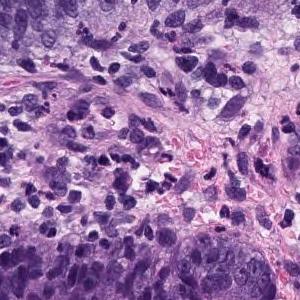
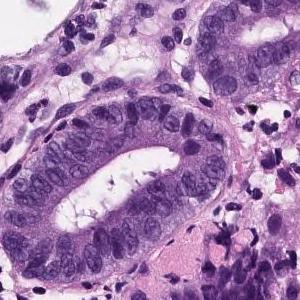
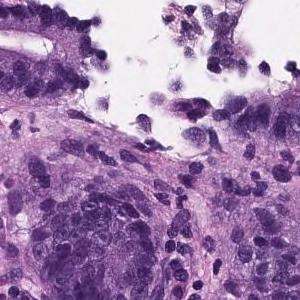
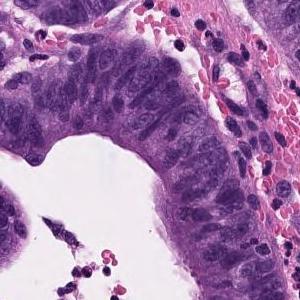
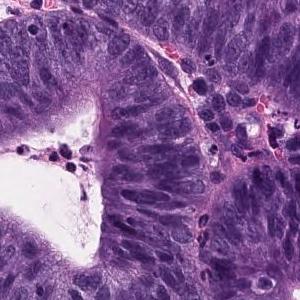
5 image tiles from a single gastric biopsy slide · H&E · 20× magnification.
Pathology report for the slide these tiles were cut from. The report and the diagnosis cover the entire slide, so not every feature they name need be visible here, and some tissue shown may not be tumor.
Papillo-tubular growth of atypical tubules with nuclear swelling is observed. Well differentiated tubular adenocarcinoma
